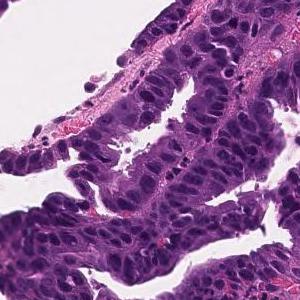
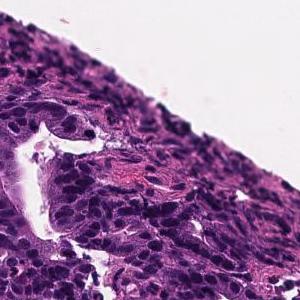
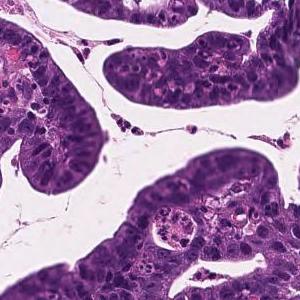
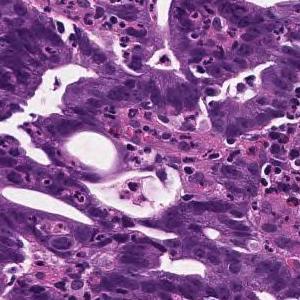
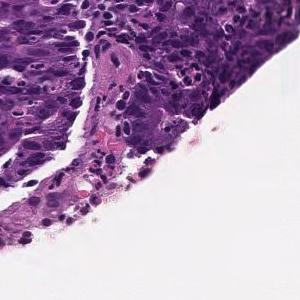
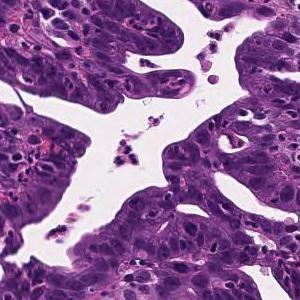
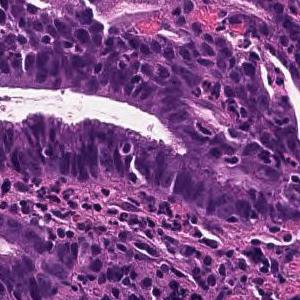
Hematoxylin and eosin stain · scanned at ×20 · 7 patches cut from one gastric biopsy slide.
Pathology report for the slide these tiles were cut from. The report and the diagnosis describe the slide as a whole, so these tiles may not show every feature named and may include non-tumor tissue.
Tumor cells are large, highly columnar, large club-shaped nuclei, and are associated with chromatin aggregation. Papillary adenocarcinoma.
